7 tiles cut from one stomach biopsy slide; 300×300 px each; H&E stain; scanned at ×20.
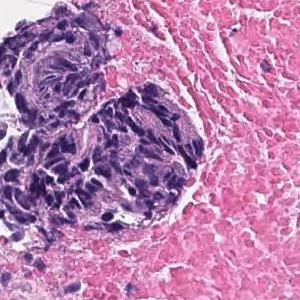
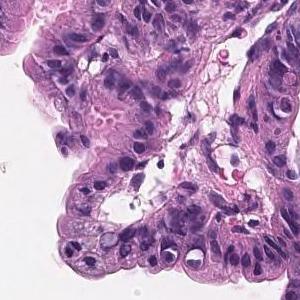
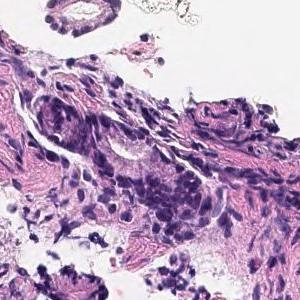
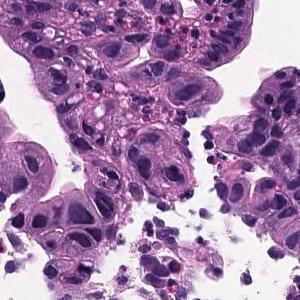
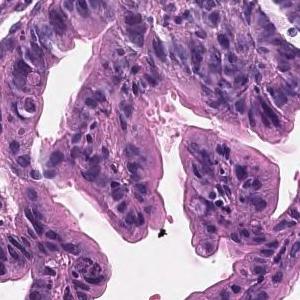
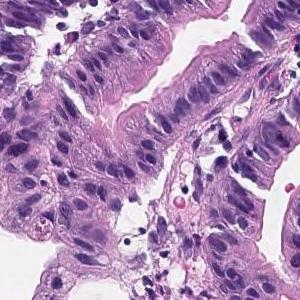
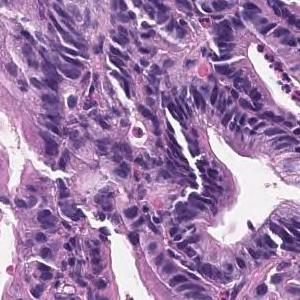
Pathology report for the slide these tiles were cut from. The findings and the diagnosis refer to the entire slide; these tiles show only part of it, possibly with non-tumor tissue, and may not show every feature named.
In the superficial epithelium, tumor tissue that invades by forming medium-sized to small, irregular ducts is observed. Moderately differentiated adenocarcinoma.
Classified as moderately differentiated tubular adenocarcinoma.
